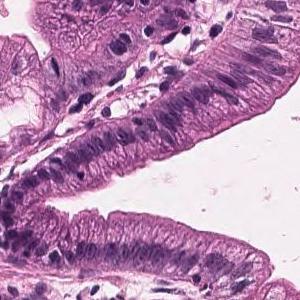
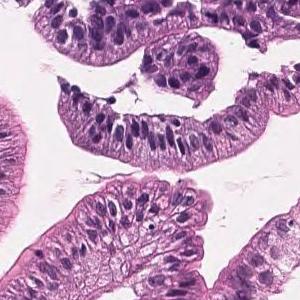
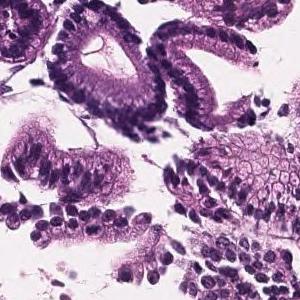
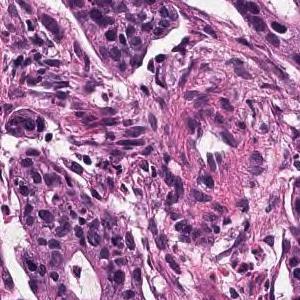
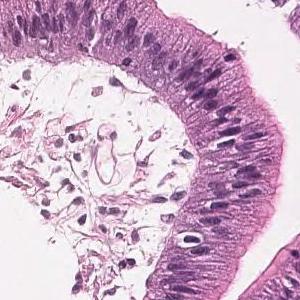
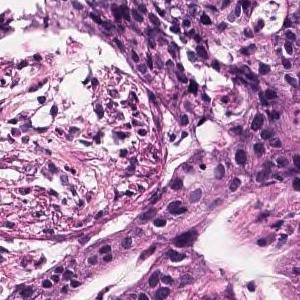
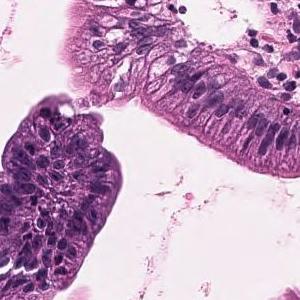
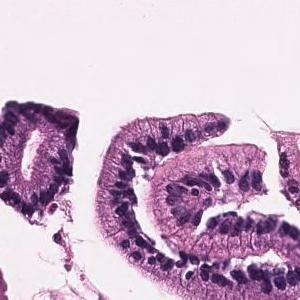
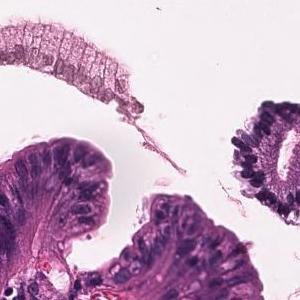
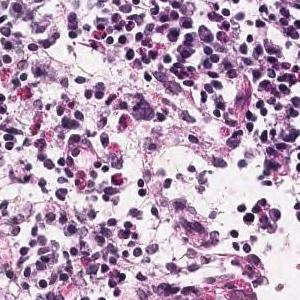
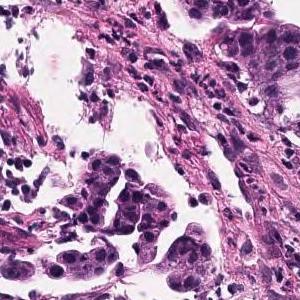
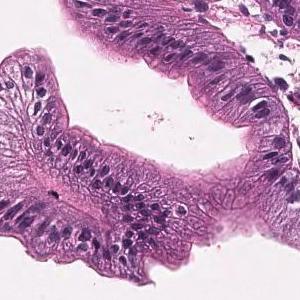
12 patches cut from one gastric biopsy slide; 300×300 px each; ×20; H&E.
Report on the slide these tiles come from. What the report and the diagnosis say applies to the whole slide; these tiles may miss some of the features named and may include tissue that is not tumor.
Tumor tissue that grows invasively while the short atypical epithelium forms small ducts is observed. moderately differentiated tubular adenocarcinoma
